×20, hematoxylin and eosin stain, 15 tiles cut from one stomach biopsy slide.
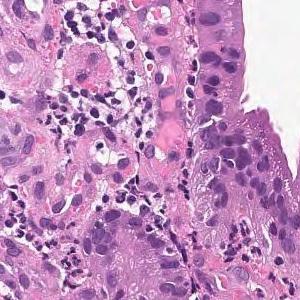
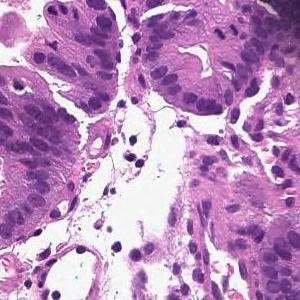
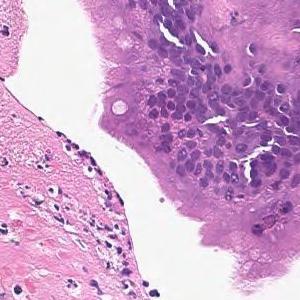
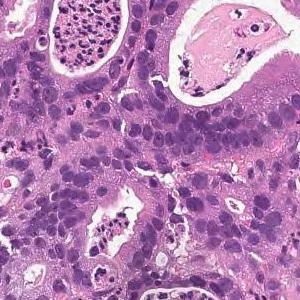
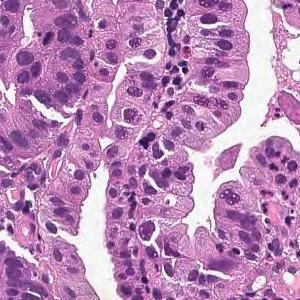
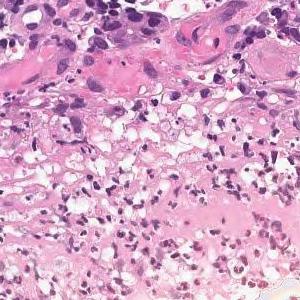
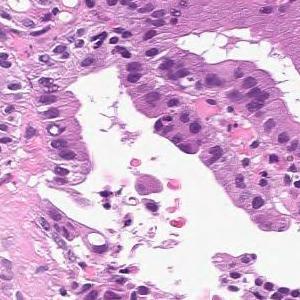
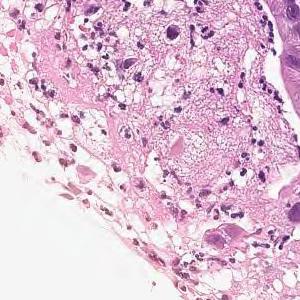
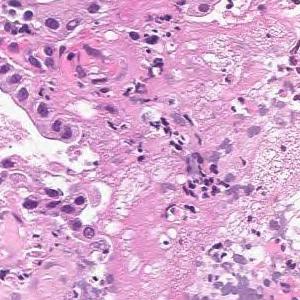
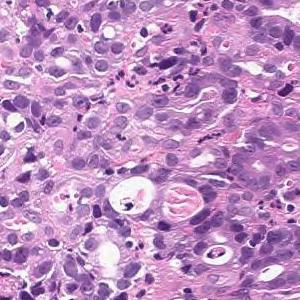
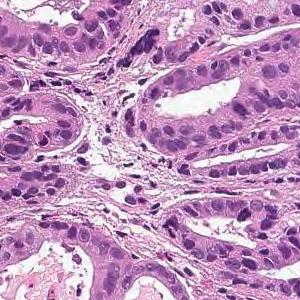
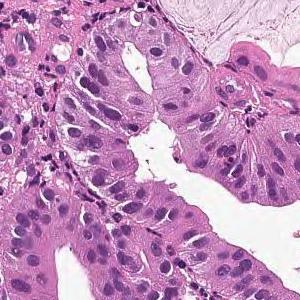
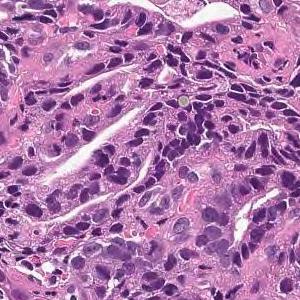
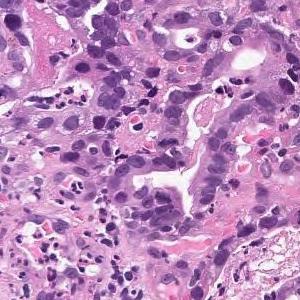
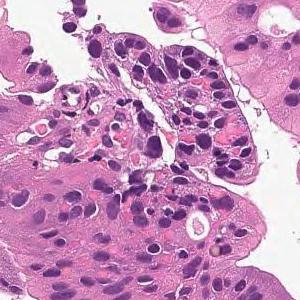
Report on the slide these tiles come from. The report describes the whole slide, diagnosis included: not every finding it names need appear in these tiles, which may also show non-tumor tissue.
From the superficial epithelium to the muscularis mucosae, tumor tissue consisting of medium-sized and irregular glandular ducts infiltrating is observed. Well differentiated tubular adenocarcinoma
